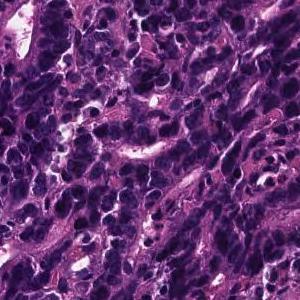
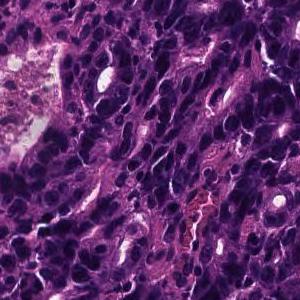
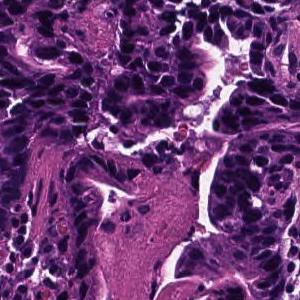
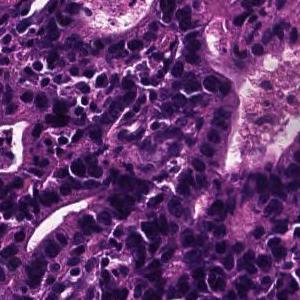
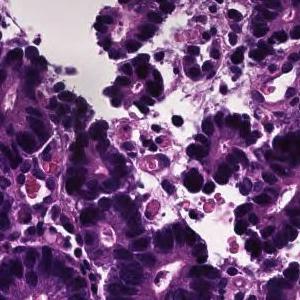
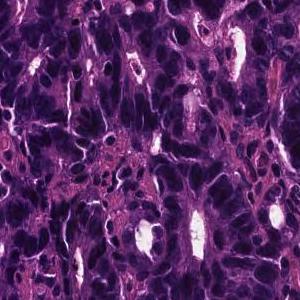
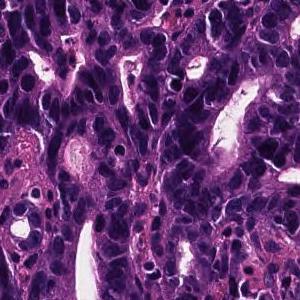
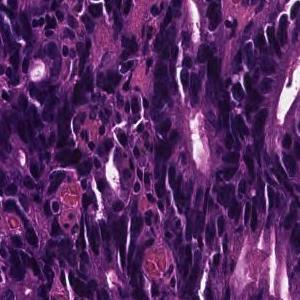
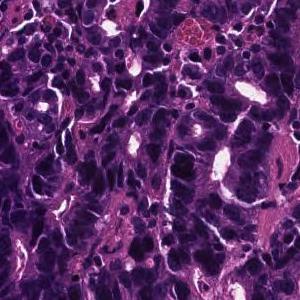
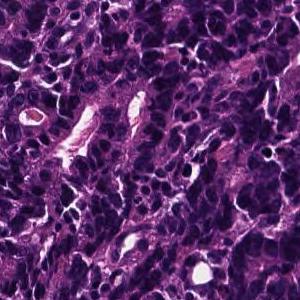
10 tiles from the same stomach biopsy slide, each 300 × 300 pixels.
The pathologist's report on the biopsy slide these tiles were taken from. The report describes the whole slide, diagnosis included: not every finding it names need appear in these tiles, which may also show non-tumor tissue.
On the superficial epithelium, tumor tissue consisting of large, irregular glandular ducts partially fused and infiltrated is observed. Well to moderately differentiated tubular adenocarcinoma (well differentiated tubular adenocarcinoma, moderately differentiated tubular adenocarcinoma)
Classified as well to moderately differentiated tubular adenocarcinoma.
